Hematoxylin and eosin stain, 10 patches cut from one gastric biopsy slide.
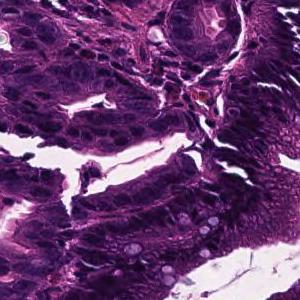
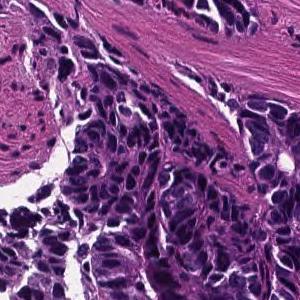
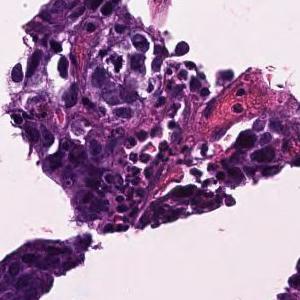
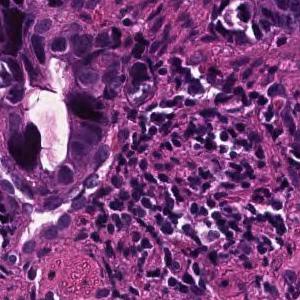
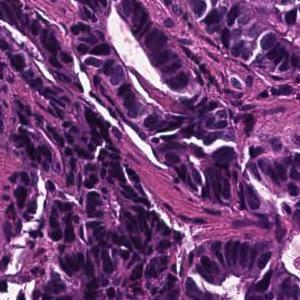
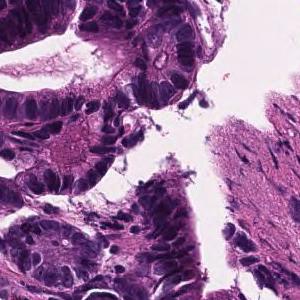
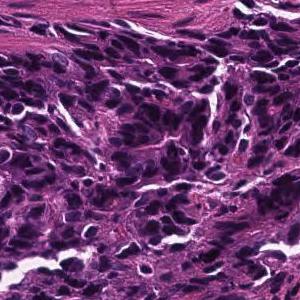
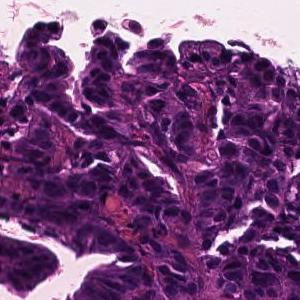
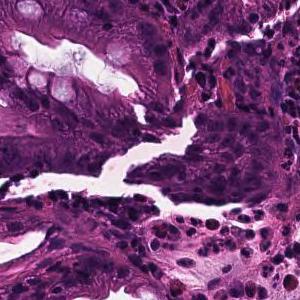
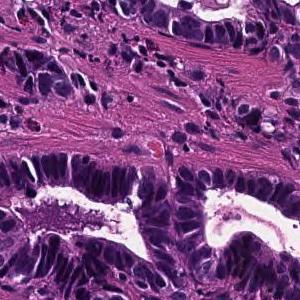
Pathology report for the biopsy slide these tiles were cut from. What the report and the diagnosis say applies to the whole slide; these tiles may miss some of the features named and may include tissue that is not tumor.
In the superficial epithelium, tumor tissue that invades by forming medium-sized to small, irregular ducts is observed. moderately differentiated tubular adenocarcinoma.
